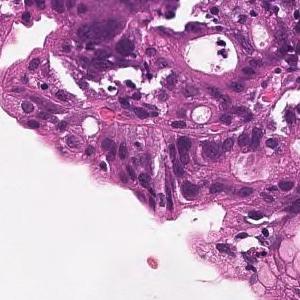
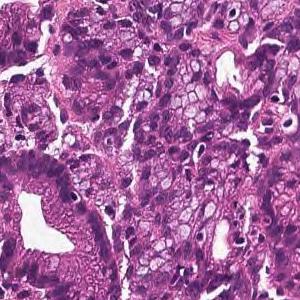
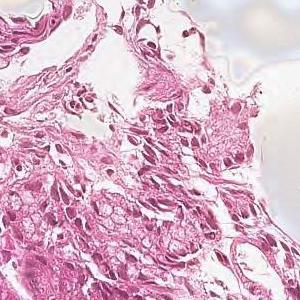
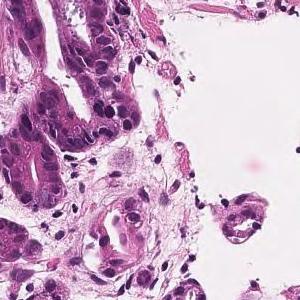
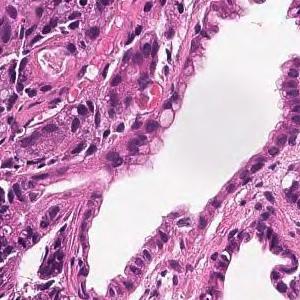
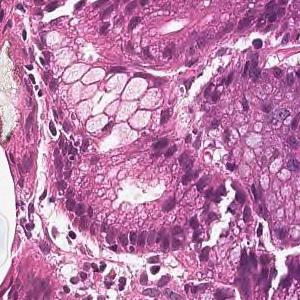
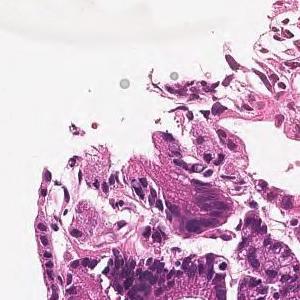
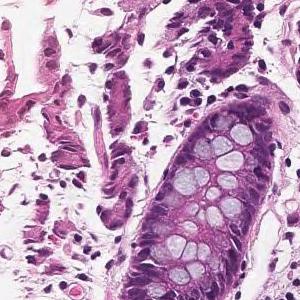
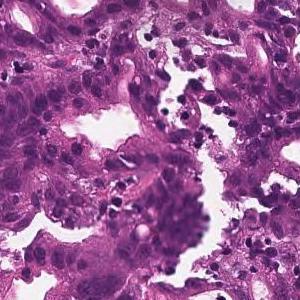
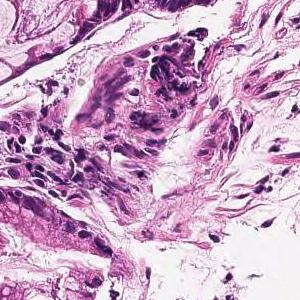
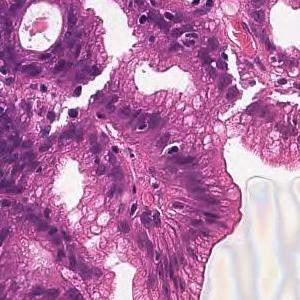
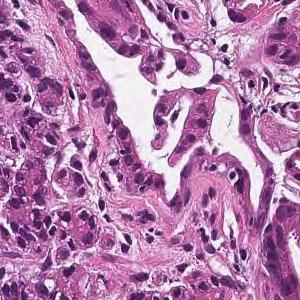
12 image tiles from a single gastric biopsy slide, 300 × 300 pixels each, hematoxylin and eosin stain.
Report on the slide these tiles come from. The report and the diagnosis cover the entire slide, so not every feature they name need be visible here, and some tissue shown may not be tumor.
In the superficial epithelium, tumor tissue that invades by forming medium-sized to small, irregular ducts is observed. moderately differentiated tubular adenocarcinoma.
